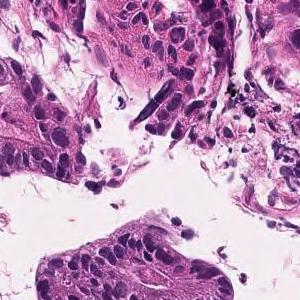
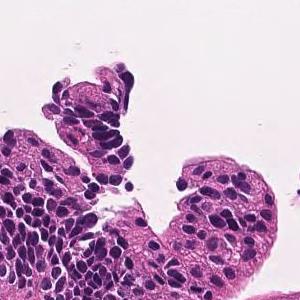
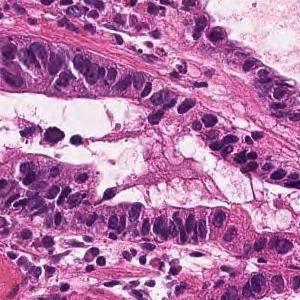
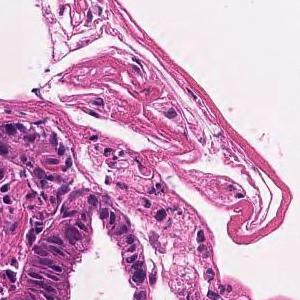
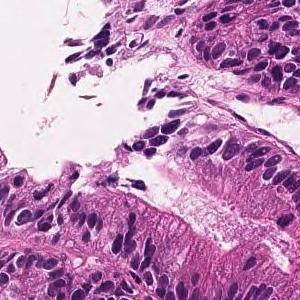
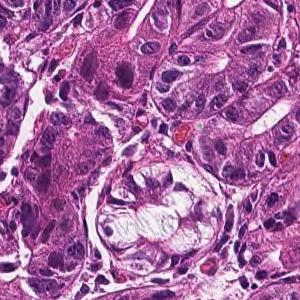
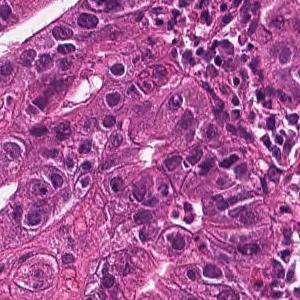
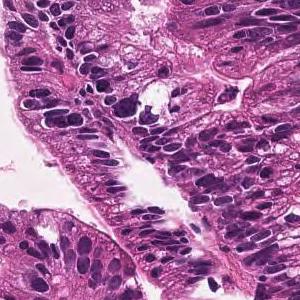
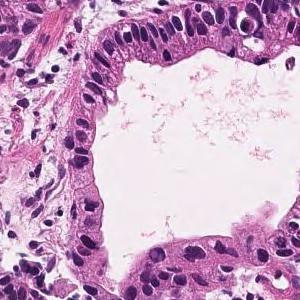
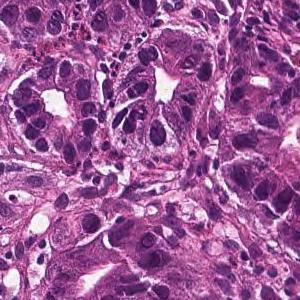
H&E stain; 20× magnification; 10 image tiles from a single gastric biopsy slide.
Report on the slide these tiles come from. Both the report and the diagnosis are for the whole slide: these tiles need not show every feature named, and some of the tissue shown may not be tumor.
In the superficial epithelium, tumor tissue that invades by forming medium-sized to small, irregular ducts is observed. moderately differentiated tubular adenocarcinoma.
